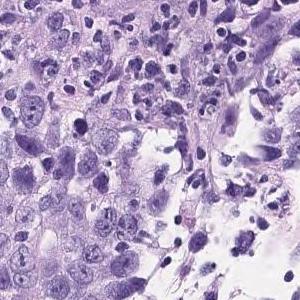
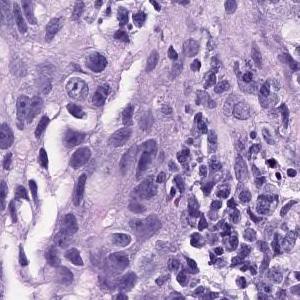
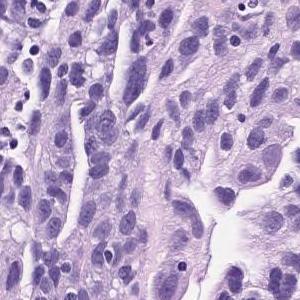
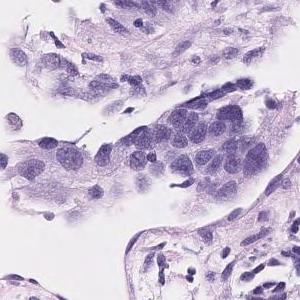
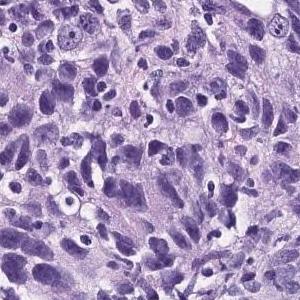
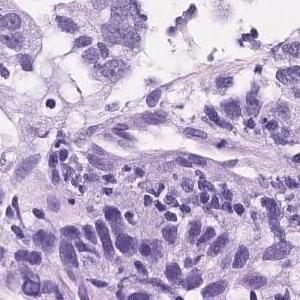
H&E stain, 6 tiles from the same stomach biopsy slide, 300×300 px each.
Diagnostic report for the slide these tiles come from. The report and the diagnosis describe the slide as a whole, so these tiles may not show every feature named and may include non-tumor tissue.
The superficial epithelium shows a large sheet-like shape, and some tumor tissue infiltrates with small irregular ducts. Poorly differentiated adenocarcinoma, solid-type
Tumor subtype: poorly differentiated adenocarcinoma, solid type (Japanese Classification of Gastric Carcinoma). The WHO 2019 equivalent is tubular adenocarcinoma, poorly differentiated.
